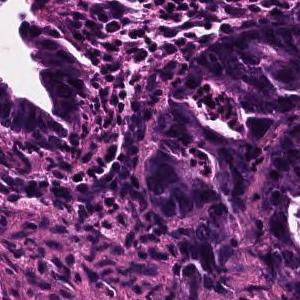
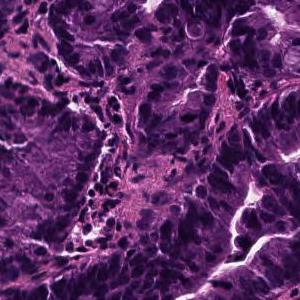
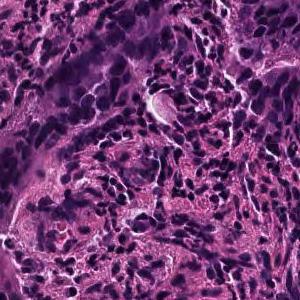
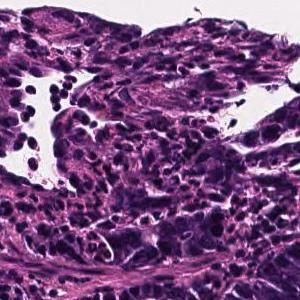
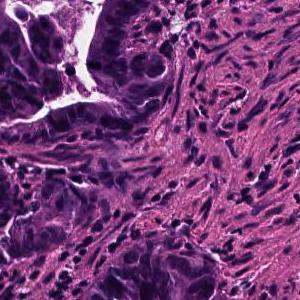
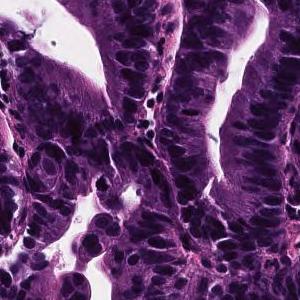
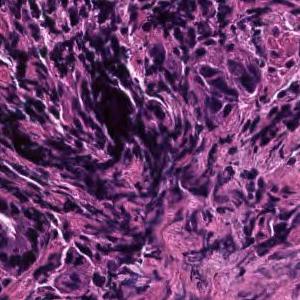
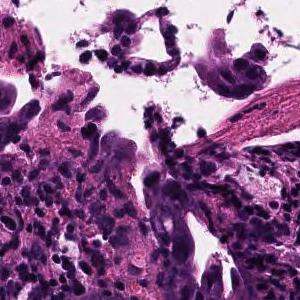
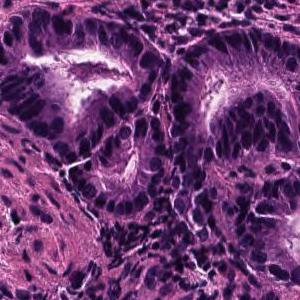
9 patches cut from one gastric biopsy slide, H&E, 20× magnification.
Pathology report for the biopsy slide these tiles were cut from. The report and the diagnosis describe the slide as a whole, so these tiles may not show every feature named and may include non-tumor tissue.
On the superficial epithelium, tumor tissue consisting of large, irregular glandular ducts partially fused and infiltrated is observed. Well to moderately differentiated tubular adenocarcinoma (well differentiated tubular adenocarcinoma, moderately differentiated tubular adenocarcinoma)
Tumor subtype: well to moderately differentiated tubular adenocarcinoma.
